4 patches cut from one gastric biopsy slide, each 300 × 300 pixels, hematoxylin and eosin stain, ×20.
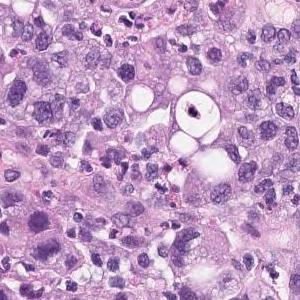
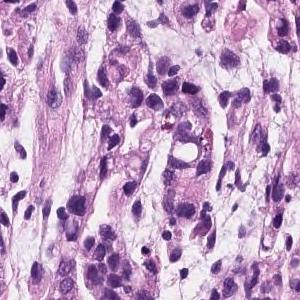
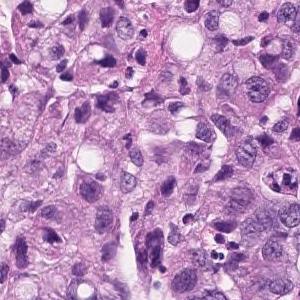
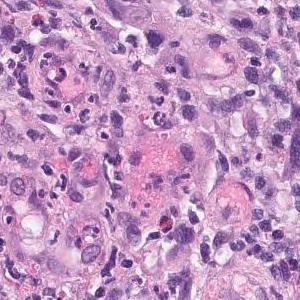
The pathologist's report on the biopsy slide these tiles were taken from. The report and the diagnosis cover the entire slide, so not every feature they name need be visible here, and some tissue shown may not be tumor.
Group 5, Adenocarcinoma. Poorly differentiated adenocarcinoma, non-solid type
"Non-solid type" is a category of the Japanese Classification of Gastric Carcinoma.
